13 image tiles from a single gastric biopsy slide; 20× magnification.
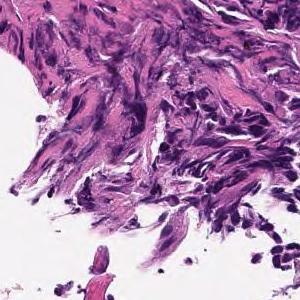
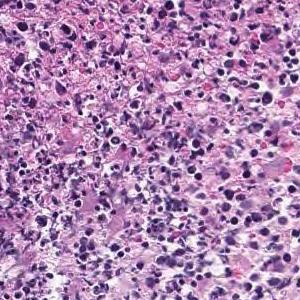
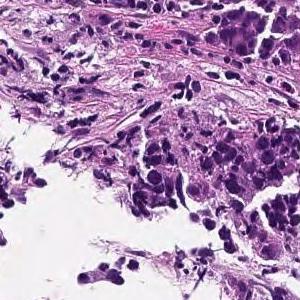
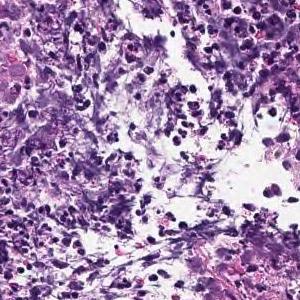
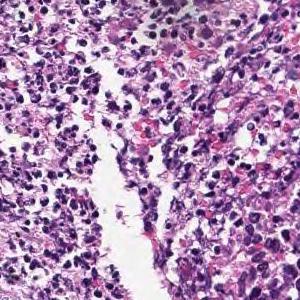
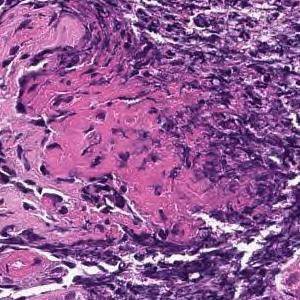
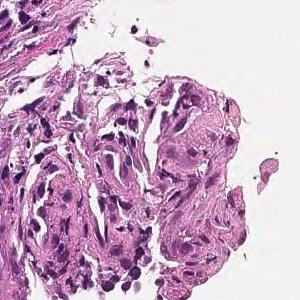
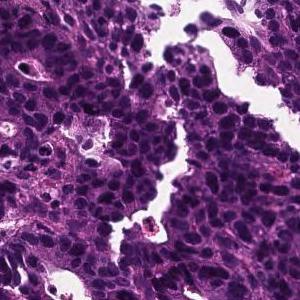
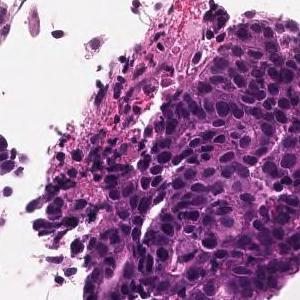
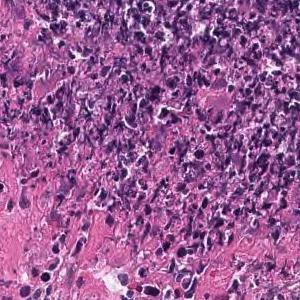
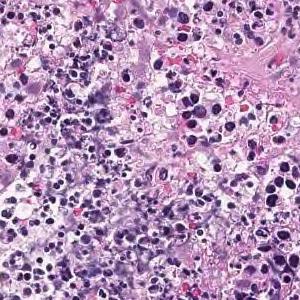
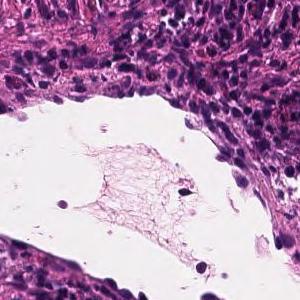
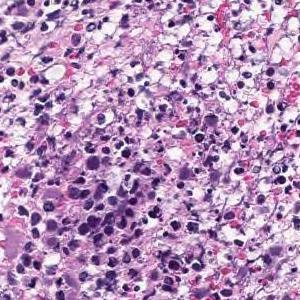
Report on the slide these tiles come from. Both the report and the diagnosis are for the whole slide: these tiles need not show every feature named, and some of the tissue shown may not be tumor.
In the superficial epithelium, tumor tissue that invades by forming medium-sized to small, irregular ducts is observed. moderately differentiated tubular adenocarcinoma.
